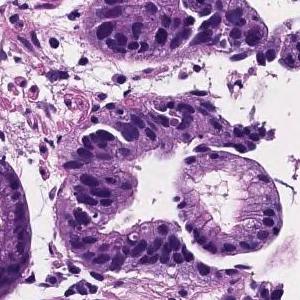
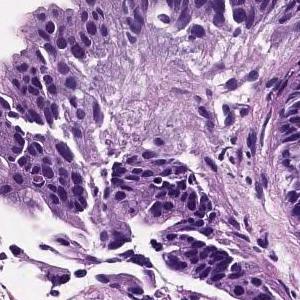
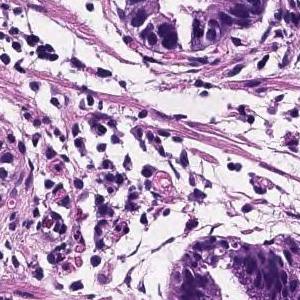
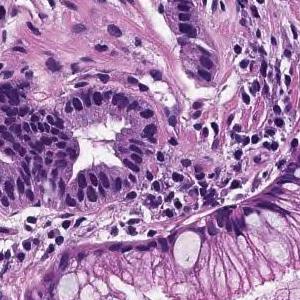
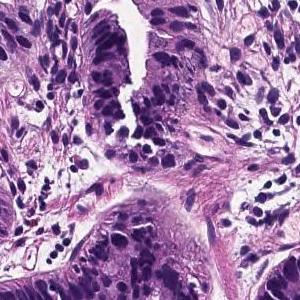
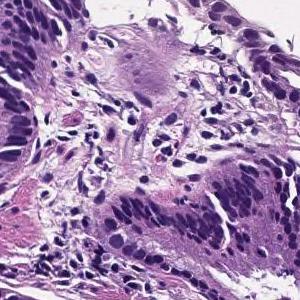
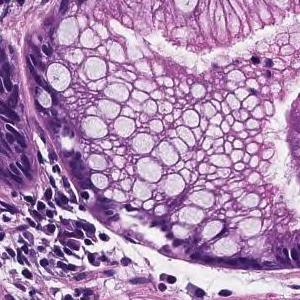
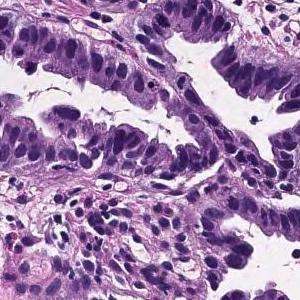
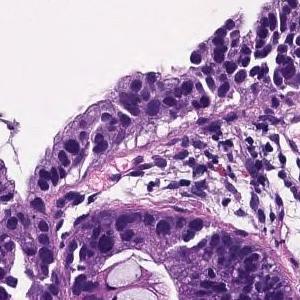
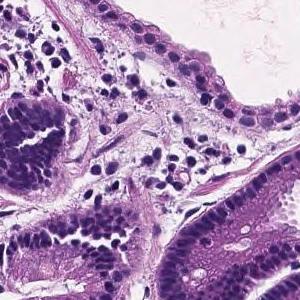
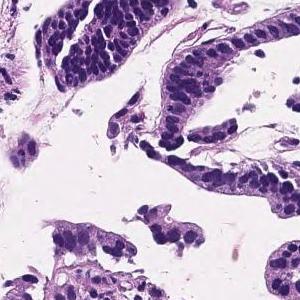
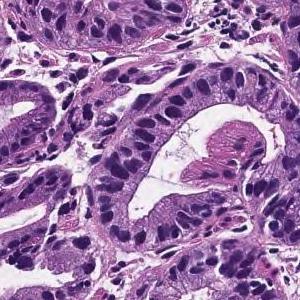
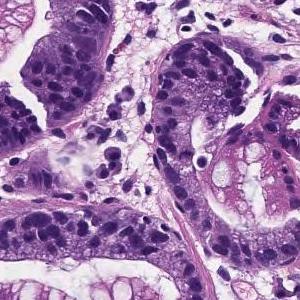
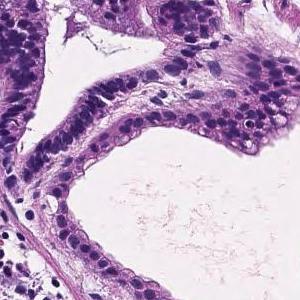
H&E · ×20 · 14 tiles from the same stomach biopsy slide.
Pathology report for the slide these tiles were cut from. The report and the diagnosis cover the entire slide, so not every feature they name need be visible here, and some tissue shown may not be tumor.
Tumor cells are large, highly columnar, large club-shaped nuclei, and are associated with chromatin aggregation. Papillary adenocarcinoma.
